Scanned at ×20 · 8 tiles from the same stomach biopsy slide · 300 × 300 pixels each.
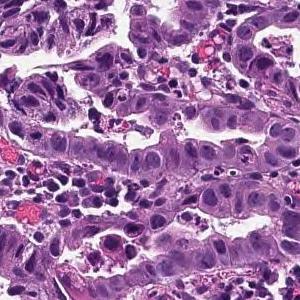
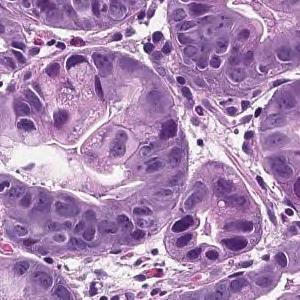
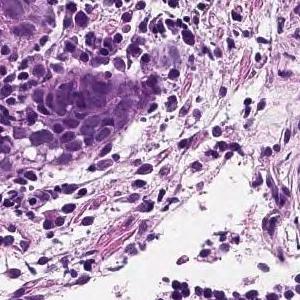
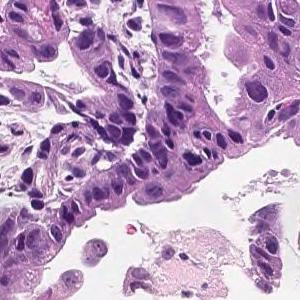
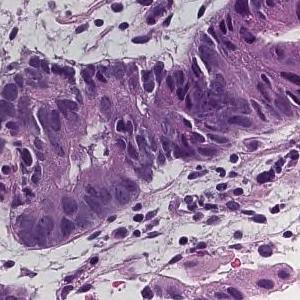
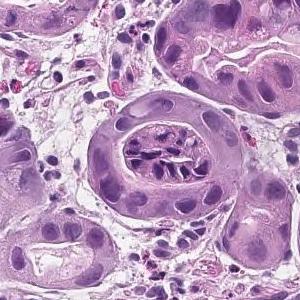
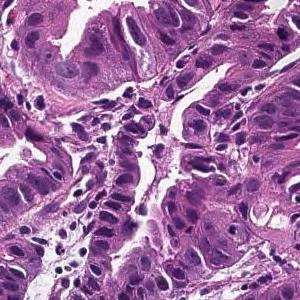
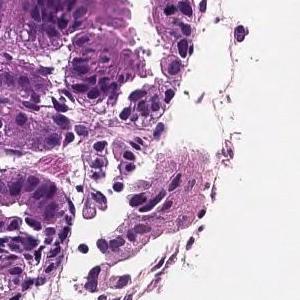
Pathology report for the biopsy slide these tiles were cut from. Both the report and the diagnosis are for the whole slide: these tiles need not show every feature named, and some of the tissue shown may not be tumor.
On the superficial epithelium, tumor tissue that infiltrates by forming medium-sized papillary or small irregular ducts is observed. Papillary adenocarcinoma
